16 patches cut from one gastric biopsy slide, each 300 × 300 pixels.
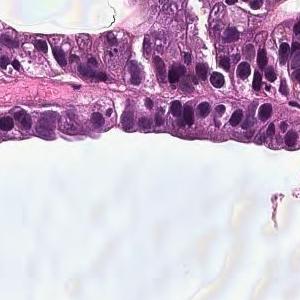
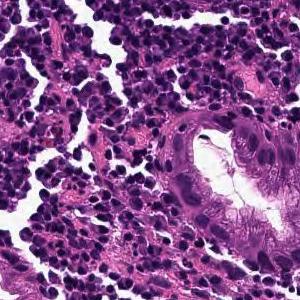
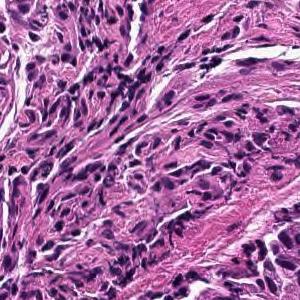
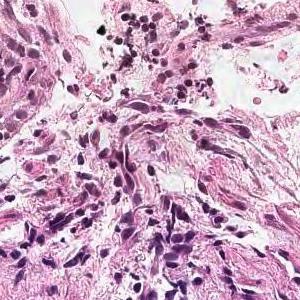
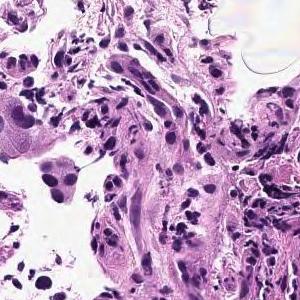
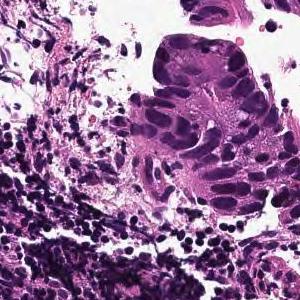
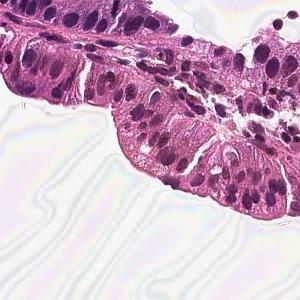
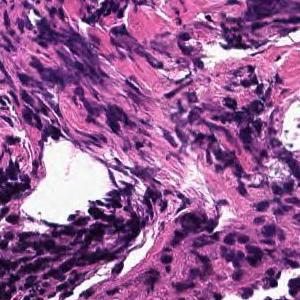
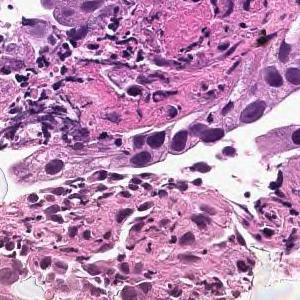
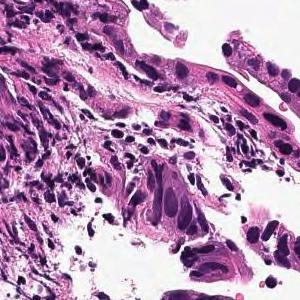
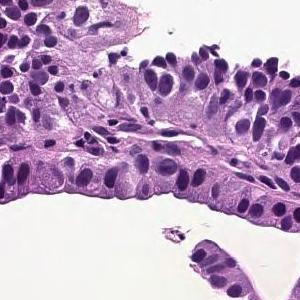
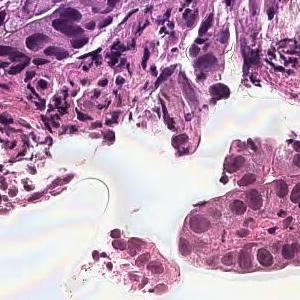
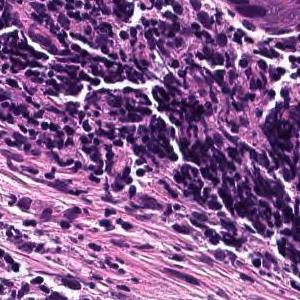
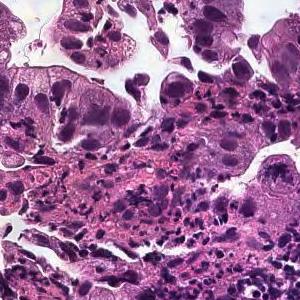
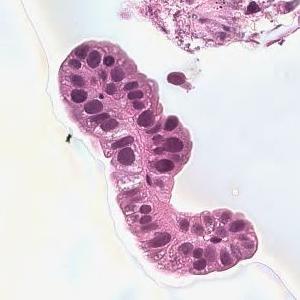
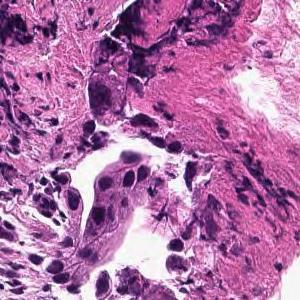
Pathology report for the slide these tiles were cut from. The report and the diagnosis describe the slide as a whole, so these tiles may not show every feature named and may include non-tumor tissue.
On the superficial epithelium, tumor tissue that infiltrates by forming medium-sized papillary or small irregular ducts is observed. Papillary adenocarcinoma
